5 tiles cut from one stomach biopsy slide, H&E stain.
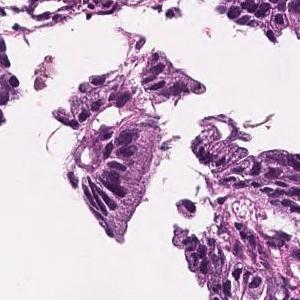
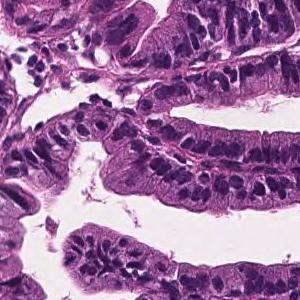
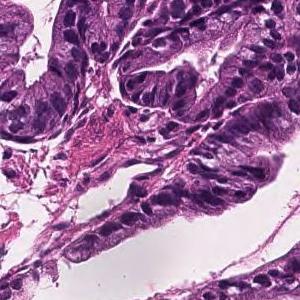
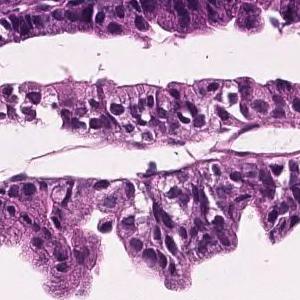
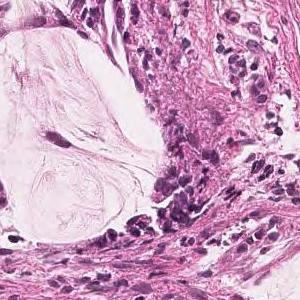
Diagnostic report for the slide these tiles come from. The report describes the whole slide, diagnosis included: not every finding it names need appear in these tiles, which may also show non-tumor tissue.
Tumor cells are large, highly columnar, large club-shaped nuclei, and are associated with chromatin aggregation. Papillary adenocarcinoma.
